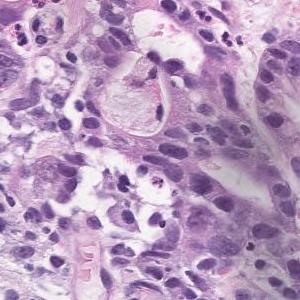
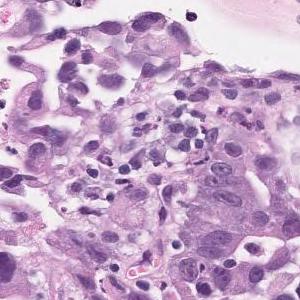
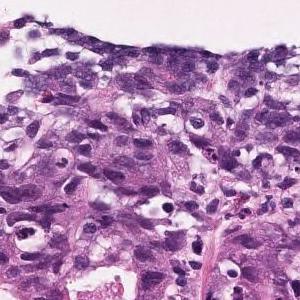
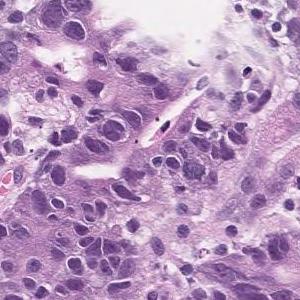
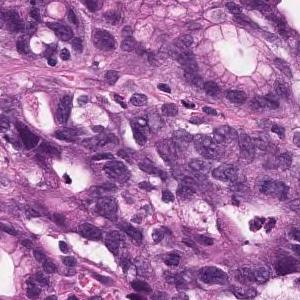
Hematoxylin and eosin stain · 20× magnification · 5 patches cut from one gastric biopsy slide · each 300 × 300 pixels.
Pathology report for the biopsy slide these tiles were cut from. The findings and the diagnosis refer to the entire slide; these tiles show only part of it, possibly with non-tumor tissue, and may not show every feature named.
It is mixed with the existing pit epithelium and pyloric gland epithelium, and irregularly fused and branched atypical ducts are observed. Moderately differentiated tubular adenocarcinoma (well differentiated tubular adenocarcinoma)
Dataset label: moderately differentiated tubular adenocarcinoma.
